H&E stain · 10 patches cut from one gastric biopsy slide.
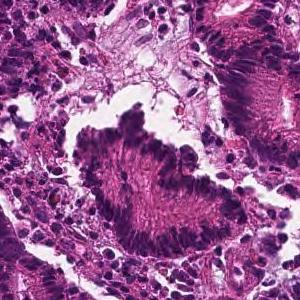
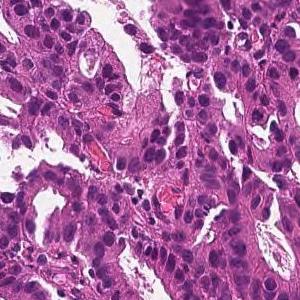
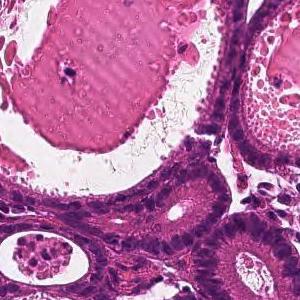
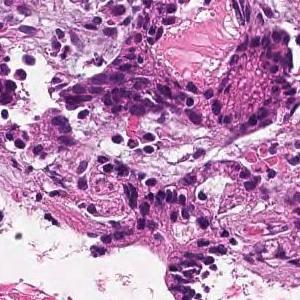
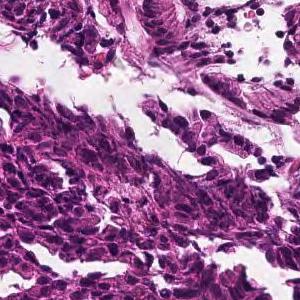
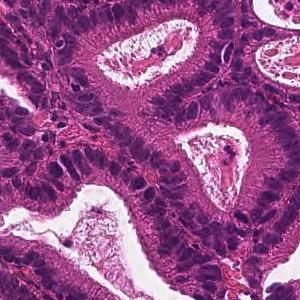
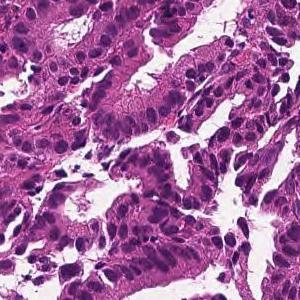
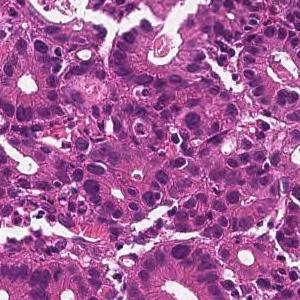
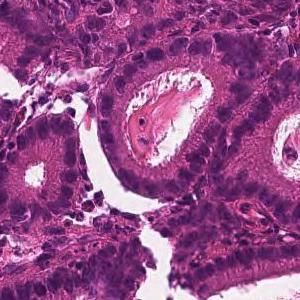
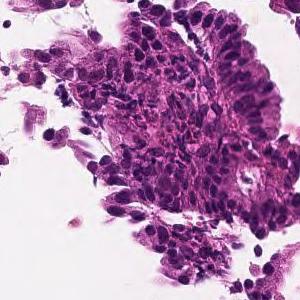
Diagnostic report for the slide these tiles come from. The report describes the whole slide, diagnosis included: not every finding it names need appear in these tiles, which may also show non-tumor tissue.
From the superficial epithelium to the muscularis mucosae, tumor tissue consisting of medium-sized and irregular glandular ducts infiltrating is observed. Well differentiated tubular adenocarcinoma
